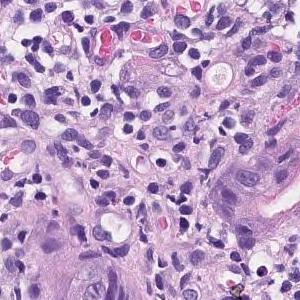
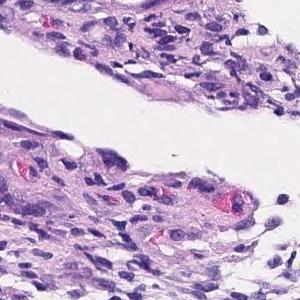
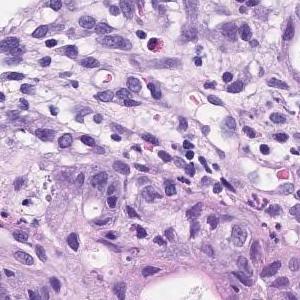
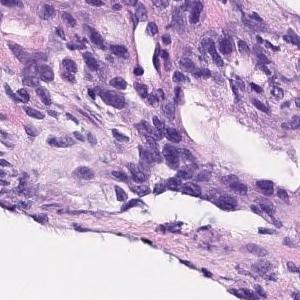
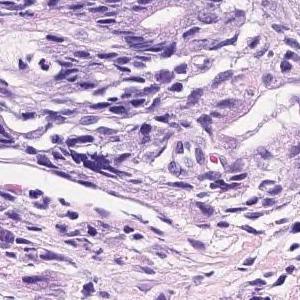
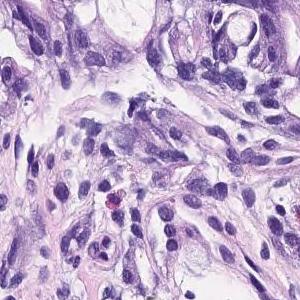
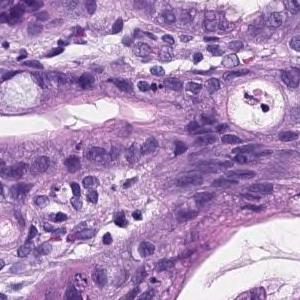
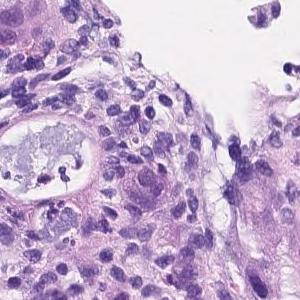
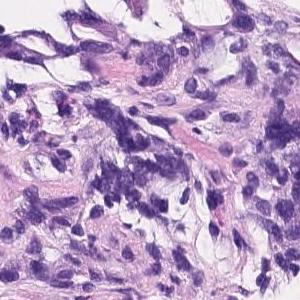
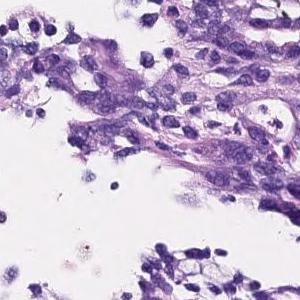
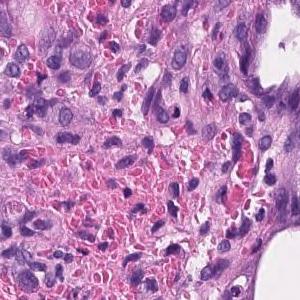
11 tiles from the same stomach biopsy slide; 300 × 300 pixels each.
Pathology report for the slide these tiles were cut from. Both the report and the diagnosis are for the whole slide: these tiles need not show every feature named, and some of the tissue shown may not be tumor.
Irregularly fused atypical ducts proliferating while replacing existing ducts was observed. moderately differentiated tubular adenocarcinoma
